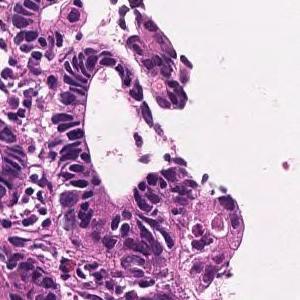
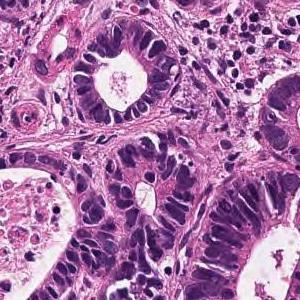
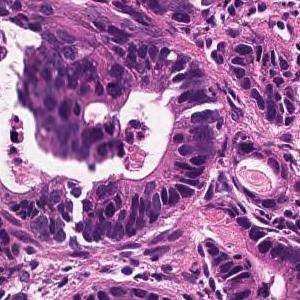
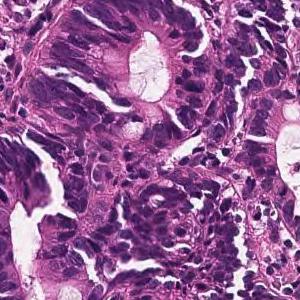
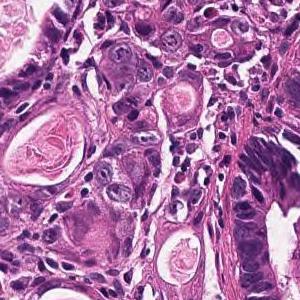
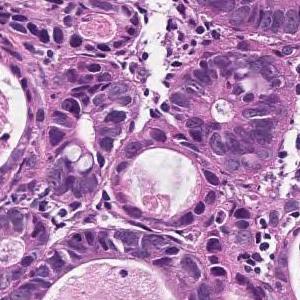
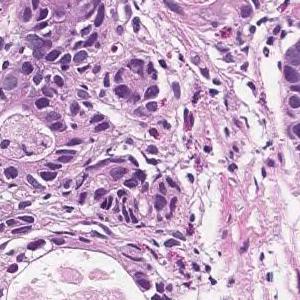
7 patches cut from one gastric biopsy slide · 300 × 300 pixels each · ×20 · H&E stain.
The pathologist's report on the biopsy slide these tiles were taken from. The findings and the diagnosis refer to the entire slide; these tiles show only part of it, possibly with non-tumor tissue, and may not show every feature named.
In the superficial epithelium, tumor tissue that invades by forming medium-sized to small, irregular ducts is observed. Well differentiated tubular adenocarcinoma.
